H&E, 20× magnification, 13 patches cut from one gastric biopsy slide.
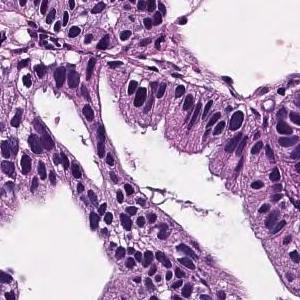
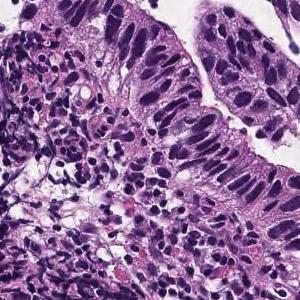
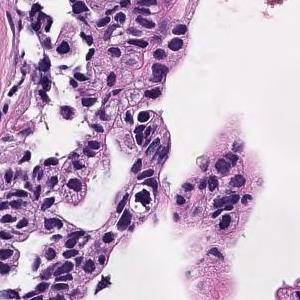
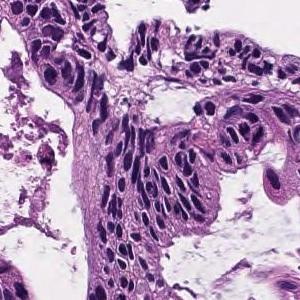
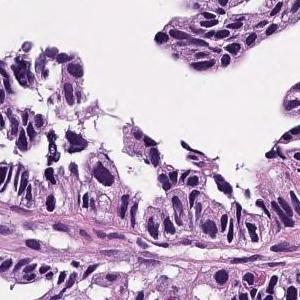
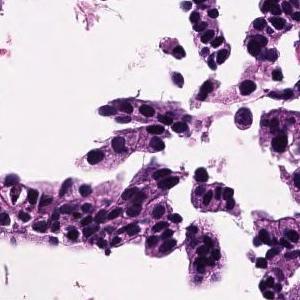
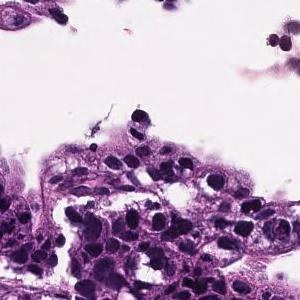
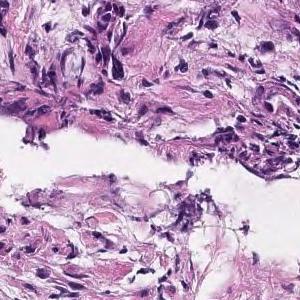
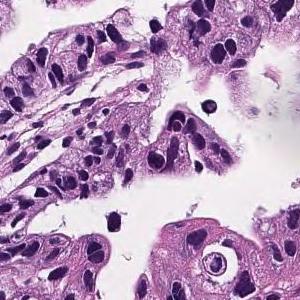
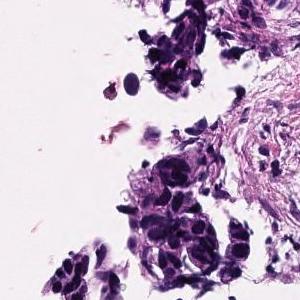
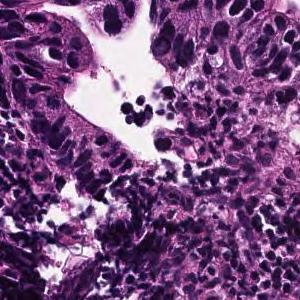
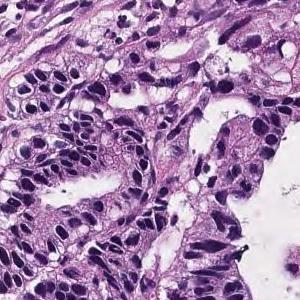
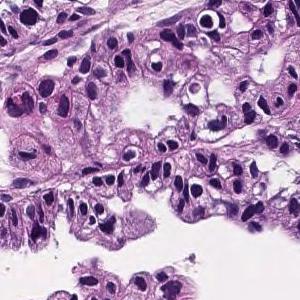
Pathology report for the slide these tiles were cut from. The report and the diagnosis describe the slide as a whole, so these tiles may not show every feature named and may include non-tumor tissue.
Tumor cells are large, highly columnar, large club-shaped nuclei, and are associated with chromatin aggregation. Papillary adenocarcinoma.
